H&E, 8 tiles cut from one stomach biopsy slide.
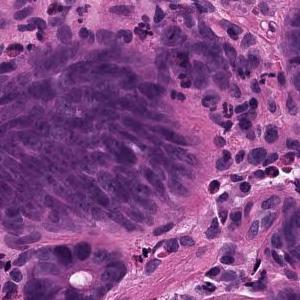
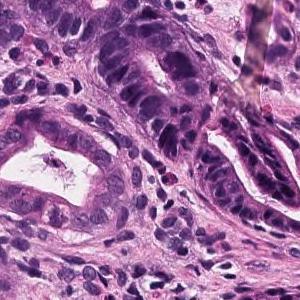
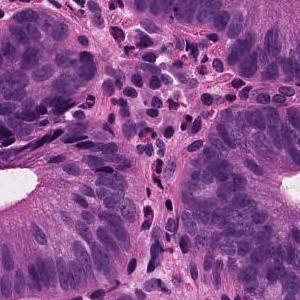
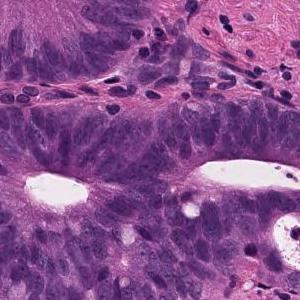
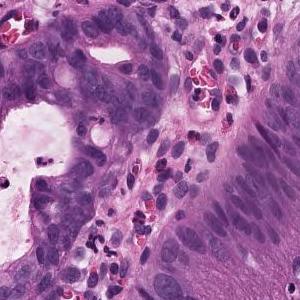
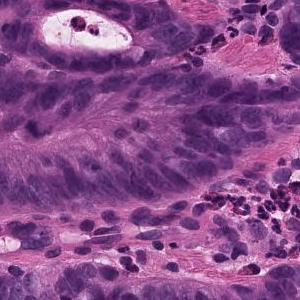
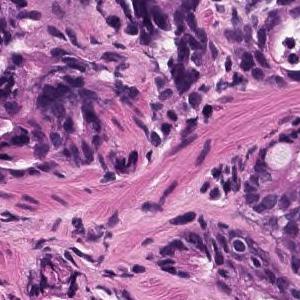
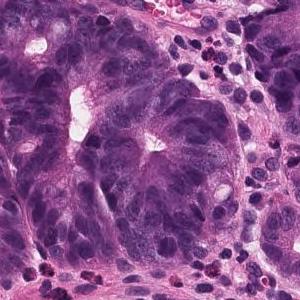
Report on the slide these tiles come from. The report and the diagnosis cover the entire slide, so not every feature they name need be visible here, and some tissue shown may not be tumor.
Atypical ducts proliferating while irregularly fusing in the lateral direction is observed. Well differentiated tubular adenocarcinoma
